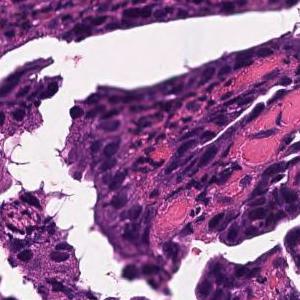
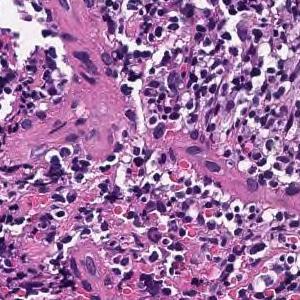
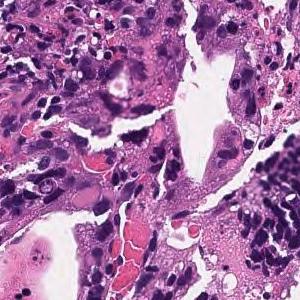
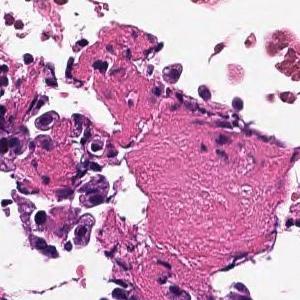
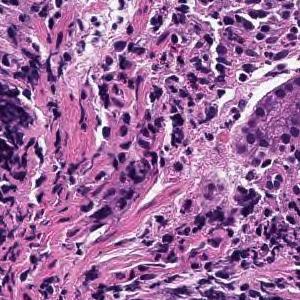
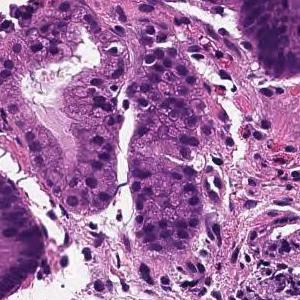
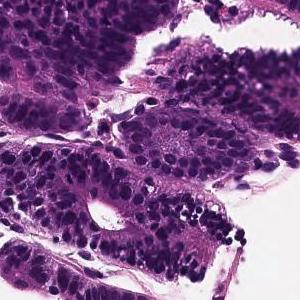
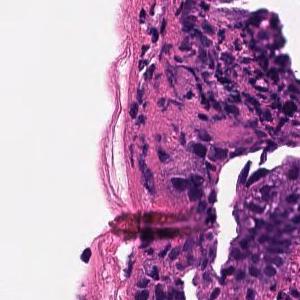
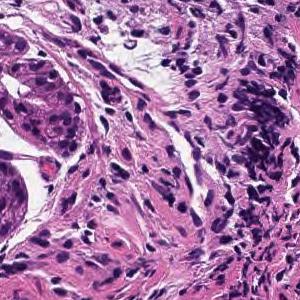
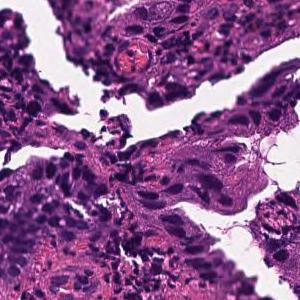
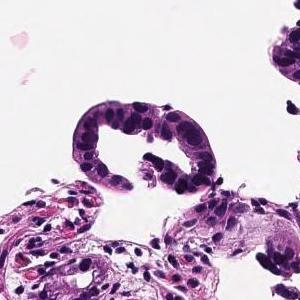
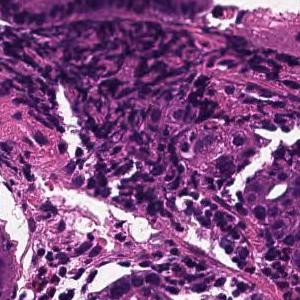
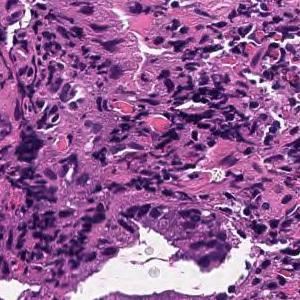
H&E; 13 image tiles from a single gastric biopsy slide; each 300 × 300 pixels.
The pathologist's report on the biopsy slide these tiles were taken from. What the report and the diagnosis say applies to the whole slide; these tiles may miss some of the features named and may include tissue that is not tumor.
Tumor cells are large, highly columnar, large club-shaped nuclei, and are associated with chromatin aggregation. Papillary adenocarcinoma.
